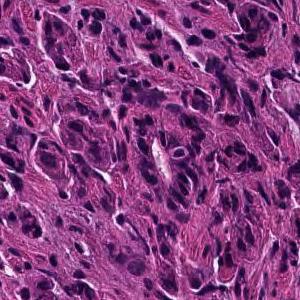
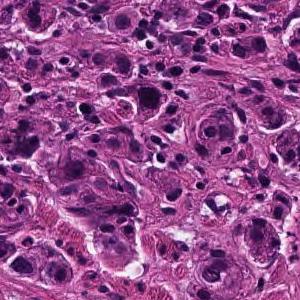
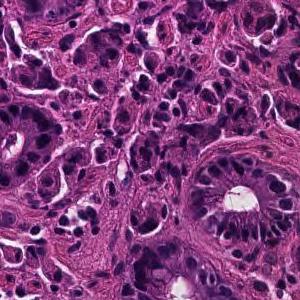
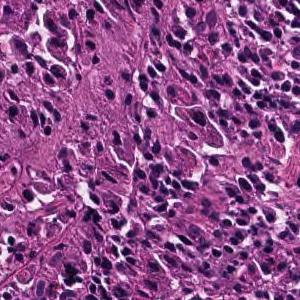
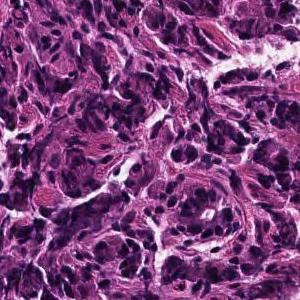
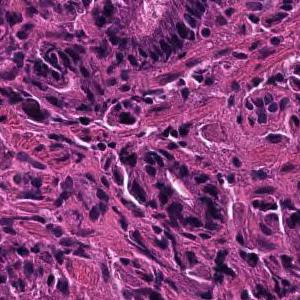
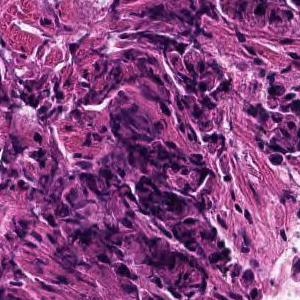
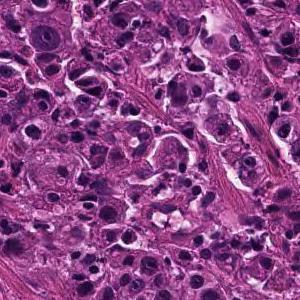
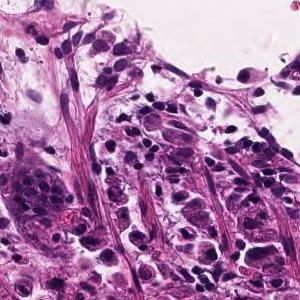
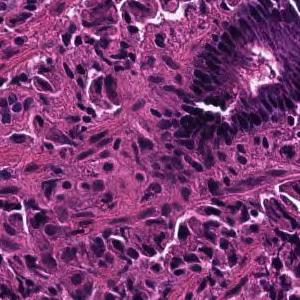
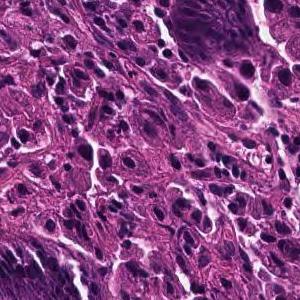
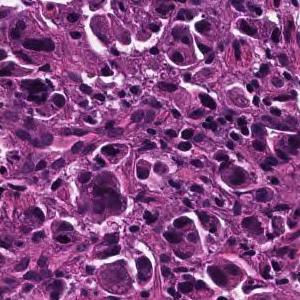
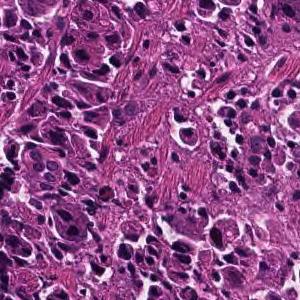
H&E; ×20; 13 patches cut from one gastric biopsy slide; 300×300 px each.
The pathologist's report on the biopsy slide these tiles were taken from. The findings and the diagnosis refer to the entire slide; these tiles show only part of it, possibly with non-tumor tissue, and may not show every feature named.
Tumor tissue consisting of cord-like or small, irregular glandular ducts fused and infiltrated is observed in the superficial epithelium. Poorly differentiated adenocarcinoma, non-solid type
"Non-solid type" is a category of the Japanese Classification of Gastric Carcinoma.
